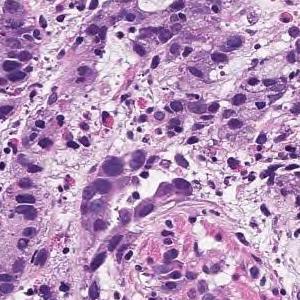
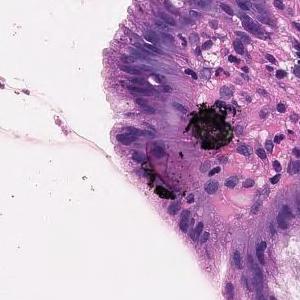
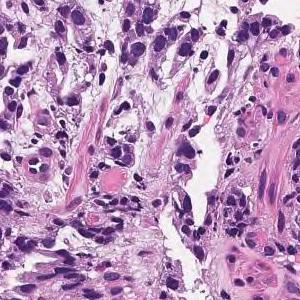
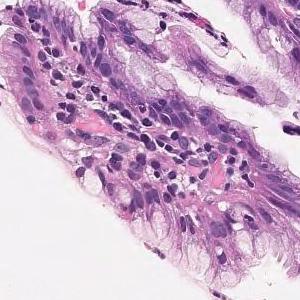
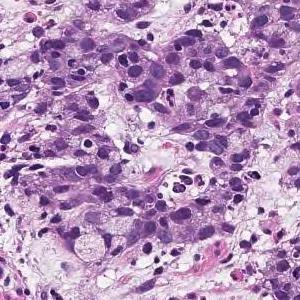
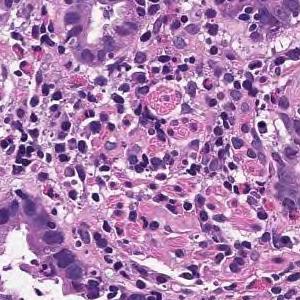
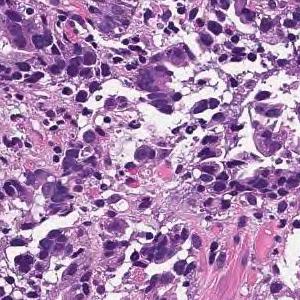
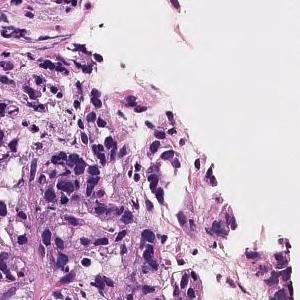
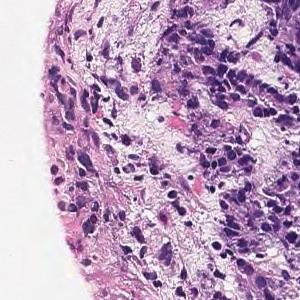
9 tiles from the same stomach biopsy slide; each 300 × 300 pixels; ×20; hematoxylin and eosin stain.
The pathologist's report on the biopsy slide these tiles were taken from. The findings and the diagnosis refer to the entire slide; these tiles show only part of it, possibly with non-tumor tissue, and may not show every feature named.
Tumor tissue consisting of cord-like or small, irregular glandular ducts fused and infiltrated is observed in the superficial epithelium. Poorly differentiated adenocarcinoma, non-solid type
"Non-solid type" is a category of the Japanese Classification of Gastric Carcinoma.
